4 image tiles from a single gastric biopsy slide; 20× magnification; hematoxylin and eosin stain.
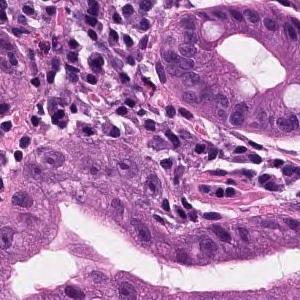
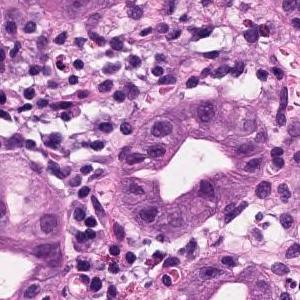
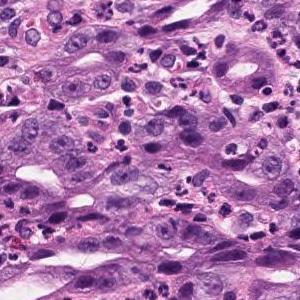
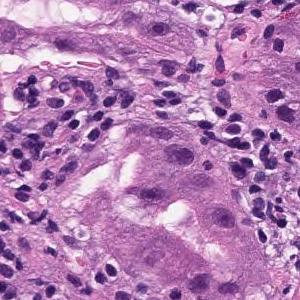
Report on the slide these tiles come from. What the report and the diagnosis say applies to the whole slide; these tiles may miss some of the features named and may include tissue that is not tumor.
In the superficial epithelium, tumor tissue that invades by forming medium-sized to small, irregular ducts is observed. Well to moderately differentiated adenocarcinoma (well differentiated tubular adenocarcinoma, moderately differentiated tubular adenocarcinoma).
Subtype: Well to moderately differentiated tubular adenocarcinoma.
